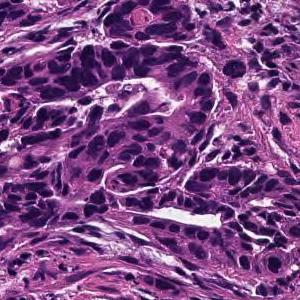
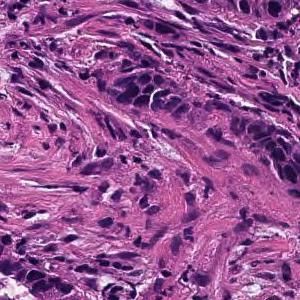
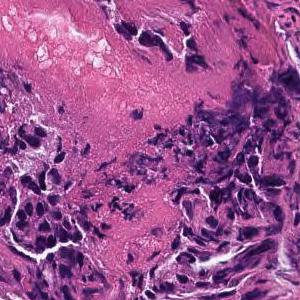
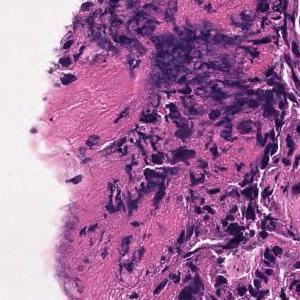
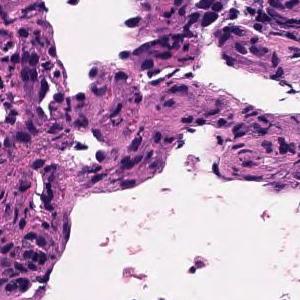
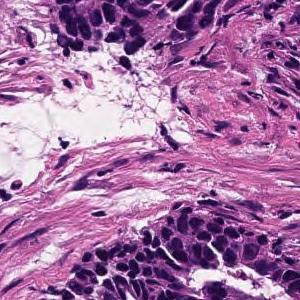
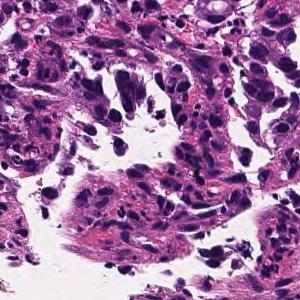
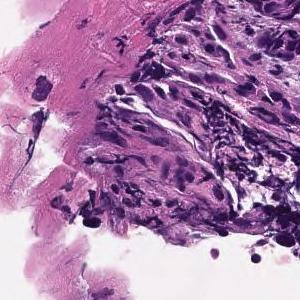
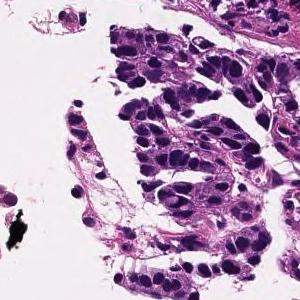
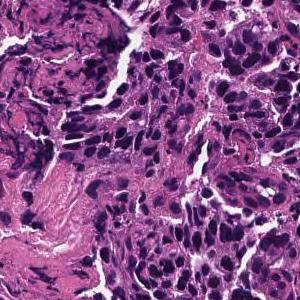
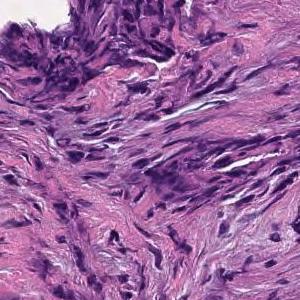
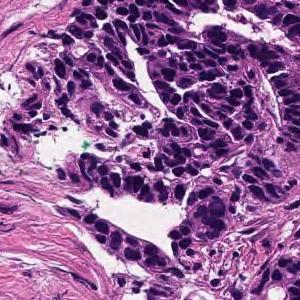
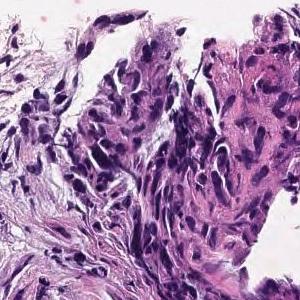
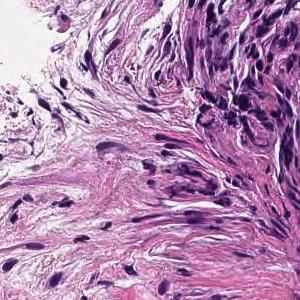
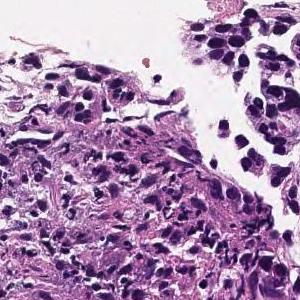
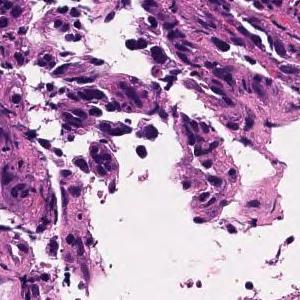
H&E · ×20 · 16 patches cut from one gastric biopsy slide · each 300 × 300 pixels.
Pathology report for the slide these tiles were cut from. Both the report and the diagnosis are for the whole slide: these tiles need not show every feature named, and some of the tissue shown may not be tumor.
In the superficial epithelium, tumor tissue that invades by forming medium-sized to small, irregular ducts is observed. moderately differentiated tubular adenocarcinoma.
